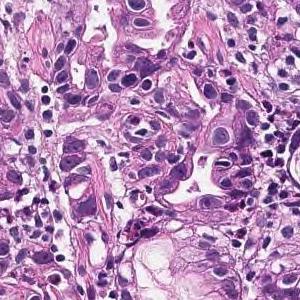
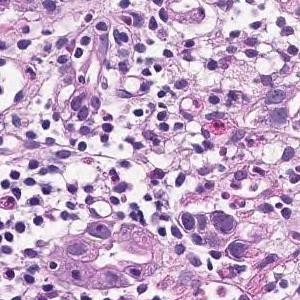
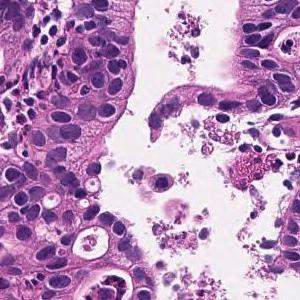
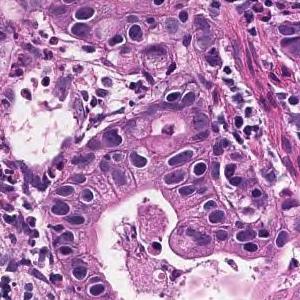
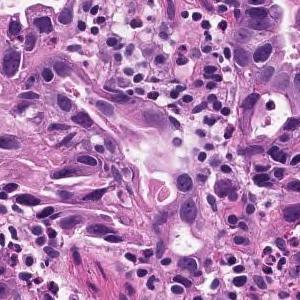
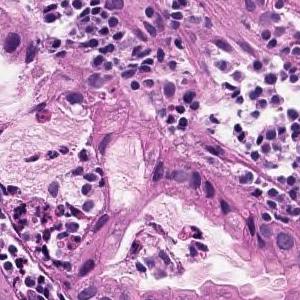
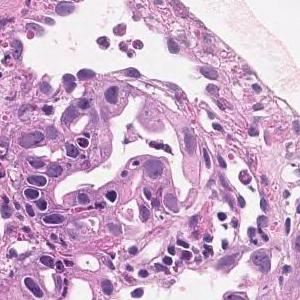
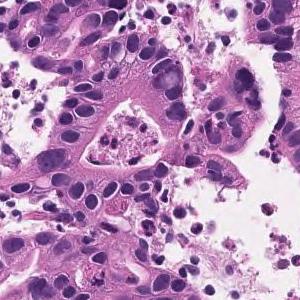
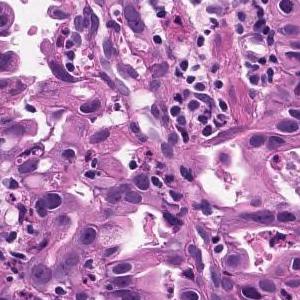
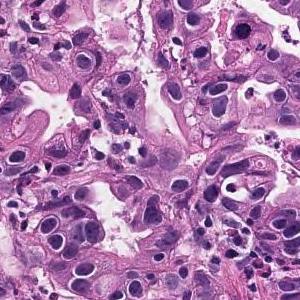
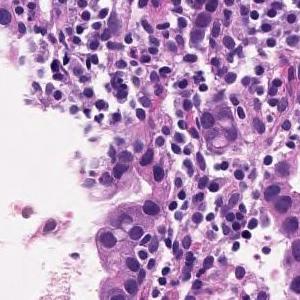
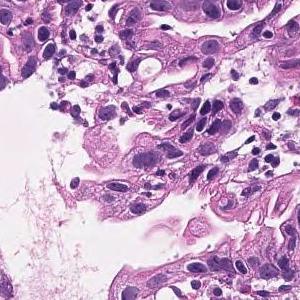
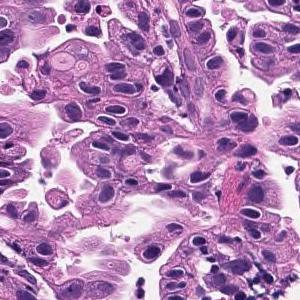
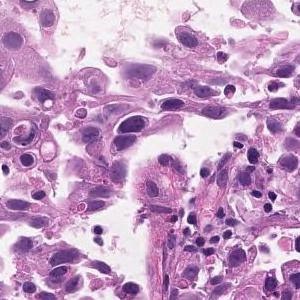
H&E · scanned at ×20 · 14 tiles from the same stomach biopsy slide.
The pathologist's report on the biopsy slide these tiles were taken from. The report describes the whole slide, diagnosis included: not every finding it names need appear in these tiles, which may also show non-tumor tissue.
In the superficial epithelium, tumor tissue that invades by forming medium-sized to small, irregular ducts is observed. moderately differentiated tubular adenocarcinoma.
